14 tiles from the same stomach biopsy slide, each 300 × 300 pixels, hematoxylin and eosin stain, 20× magnification.
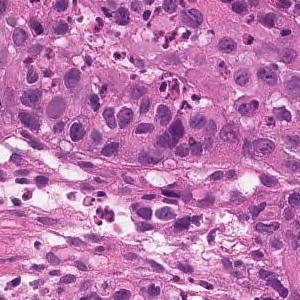
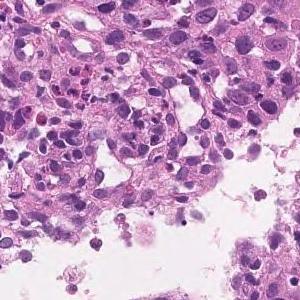
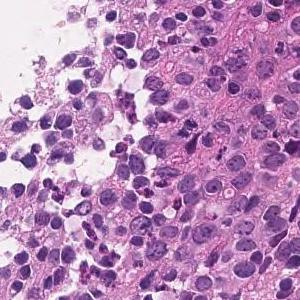
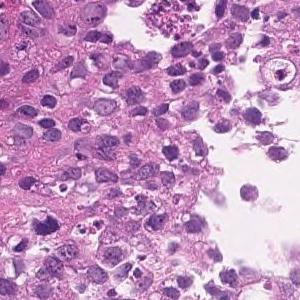
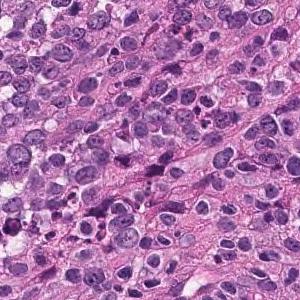
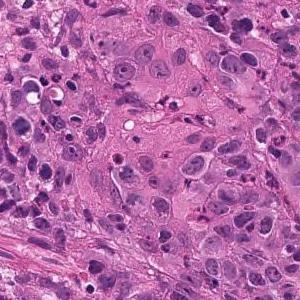
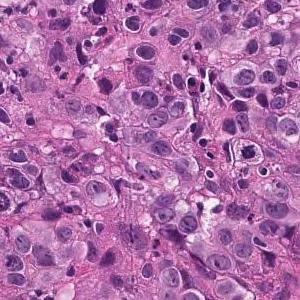
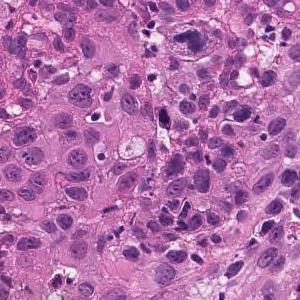
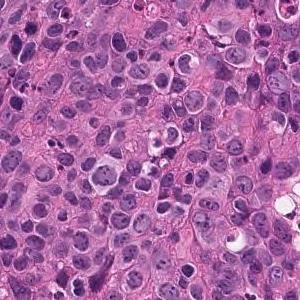
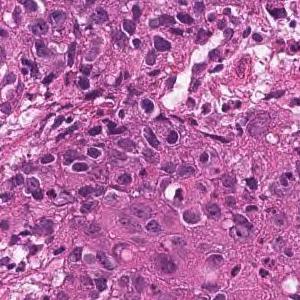
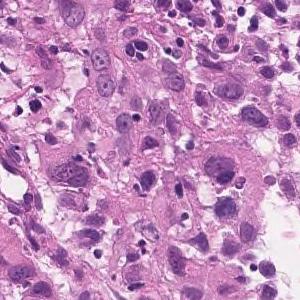
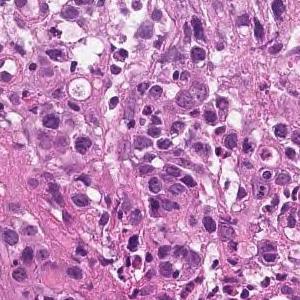
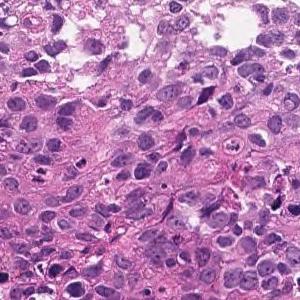
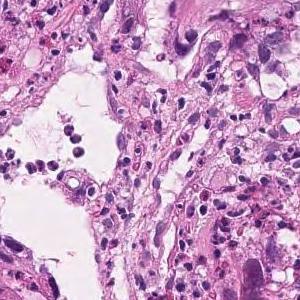
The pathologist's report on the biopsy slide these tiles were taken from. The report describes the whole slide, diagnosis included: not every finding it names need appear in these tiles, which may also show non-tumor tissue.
The superficial epithelium shows a large sheet-like shape, and some tumor tissue infiltrates with small irregular ducts. Poorly differentiated adenocarcinoma, solid-type
Histological subtype: Poorly differentiated adenocarcinoma, solid type (Japanese Classification of Gastric Carcinoma). The WHO 2019 equivalent is tubular adenocarcinoma, poorly differentiated.
